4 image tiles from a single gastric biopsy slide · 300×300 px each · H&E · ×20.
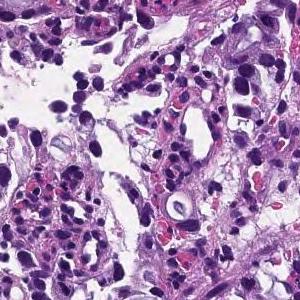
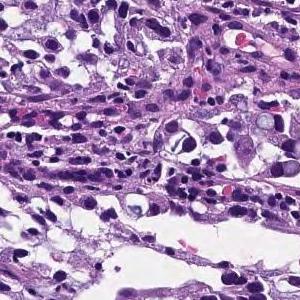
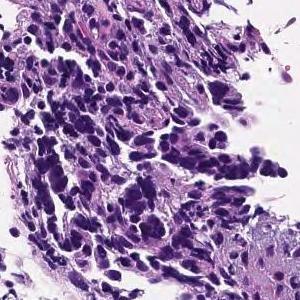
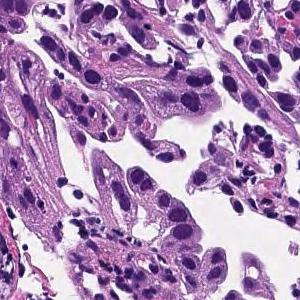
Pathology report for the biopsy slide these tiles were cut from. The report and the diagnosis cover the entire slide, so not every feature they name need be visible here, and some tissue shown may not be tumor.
Tumor tissue consisting of medium-sized, cord-like or irregular glandular infiltration is observed in the superficial epithelium. Poorly differentiated adenocarcinoma, non-solid type or moderately differentiated tubular adenocarcinoma
Subtype: Moderately to poorly differentiated adenocarcinoma.
"Non-solid type" is a category of the Japanese Classification of Gastric Carcinoma.
